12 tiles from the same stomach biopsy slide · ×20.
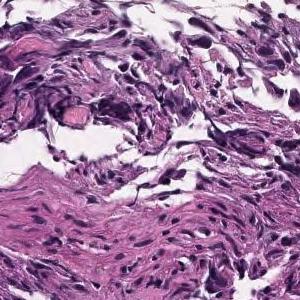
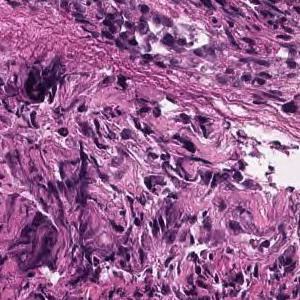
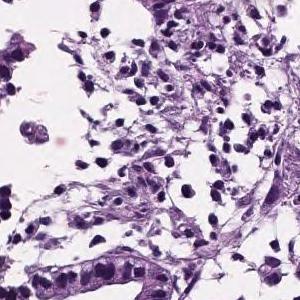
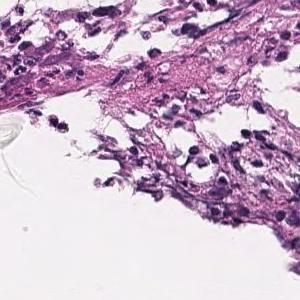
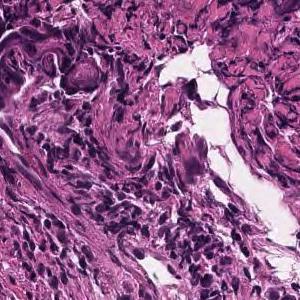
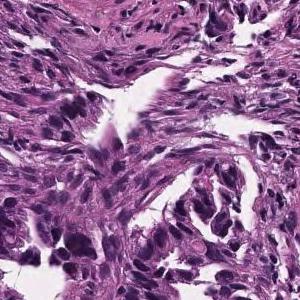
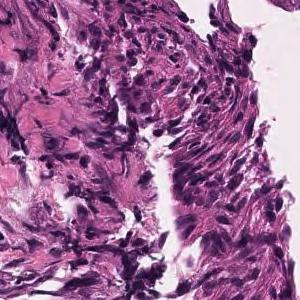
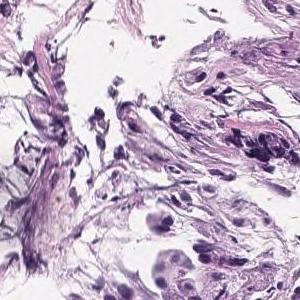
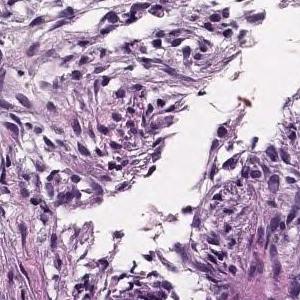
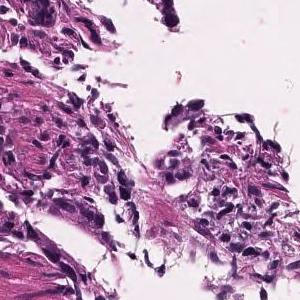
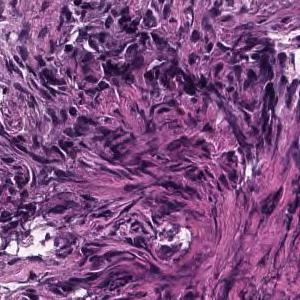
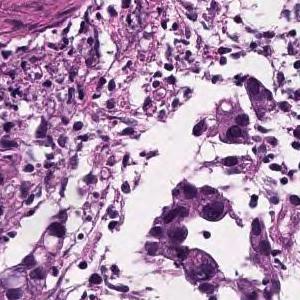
The pathologist's report on the biopsy slide these tiles were taken from. Both the report and the diagnosis are for the whole slide: these tiles need not show every feature named, and some of the tissue shown may not be tumor.
In the superficial epithelium, tumor tissue that invades by forming medium-sized to small, irregular ducts is observed. moderately differentiated tubular adenocarcinoma.
